5 patches cut from one gastric biopsy slide · 300×300 px each.
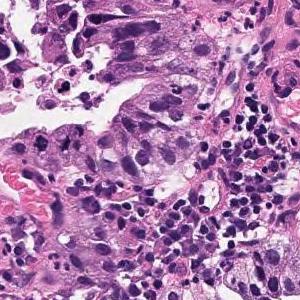
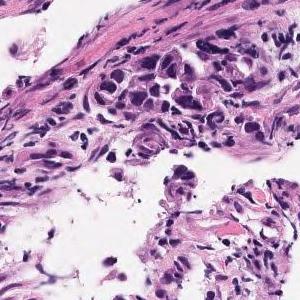
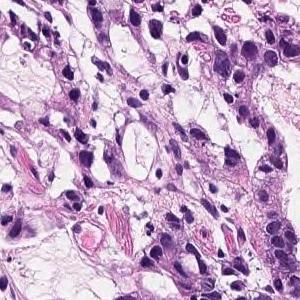
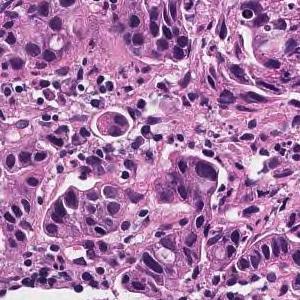
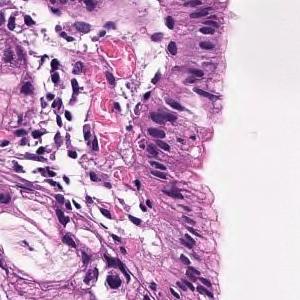
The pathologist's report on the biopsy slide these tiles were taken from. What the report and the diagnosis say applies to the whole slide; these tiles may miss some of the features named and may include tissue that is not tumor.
In the superficial epithelium, tumor tissue that invades by forming medium-sized to small, irregular ducts is observed. Moderately differentiated adenocarcinoma.
Histologic type: Moderately differentiated tubular adenocarcinoma.
